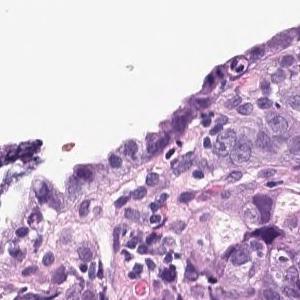
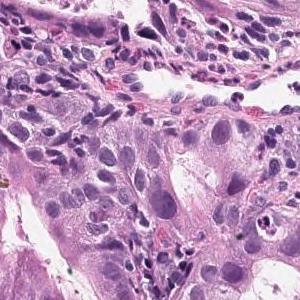
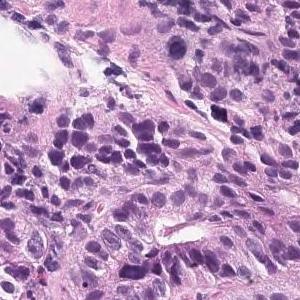
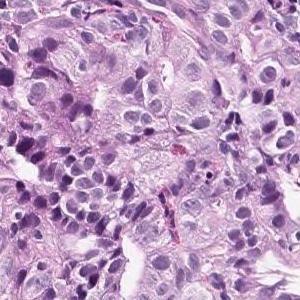
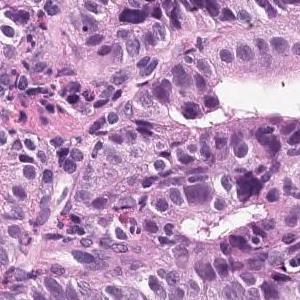
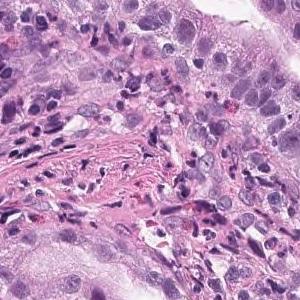
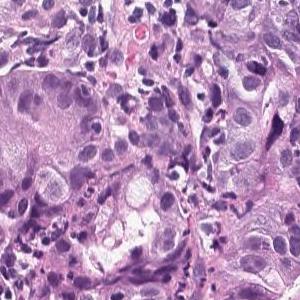
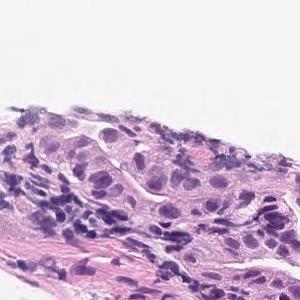
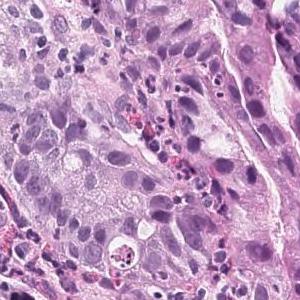
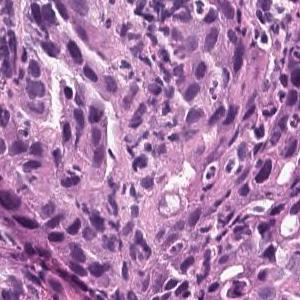
×20, hematoxylin and eosin stain, 10 patches cut from one gastric biopsy slide, 300 × 300 pixels each.
The pathologist's report on the biopsy slide these tiles were taken from. The report and the diagnosis cover the entire slide, so not every feature they name need be visible here, and some tissue shown may not be tumor.
On the superficial epithelium, tumor tissue consisting of medium-sized to large-sized, irregular tubules partially fused and densely proliferating is observed. moderately differentiated tubular adenocarcinoma
